Hematoxylin and eosin stain; scanned at ×20; 5 tiles from the same stomach biopsy slide.
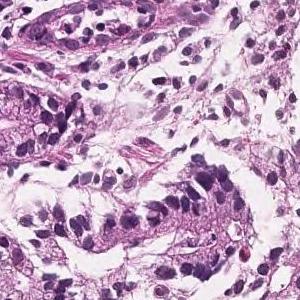
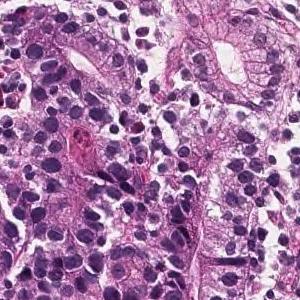
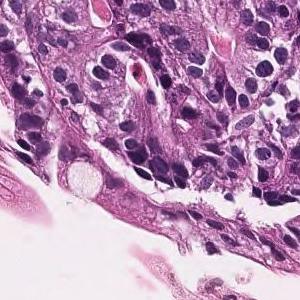
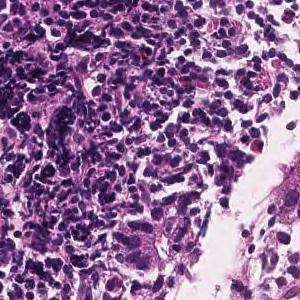
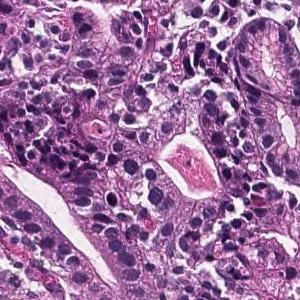
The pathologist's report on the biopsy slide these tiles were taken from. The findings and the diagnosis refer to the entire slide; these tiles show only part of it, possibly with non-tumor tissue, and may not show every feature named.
Tumor tissue that forms medium-sized, irregular glandular ducts and is papillary and proliferate is observed confined to the mucosal epithelium. moderately differentiated tubular adenocarcinoma.
